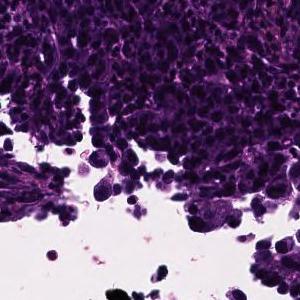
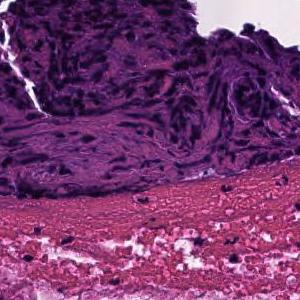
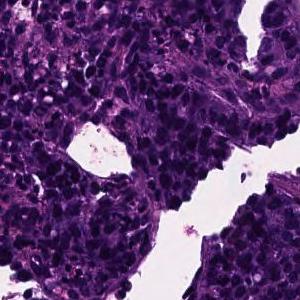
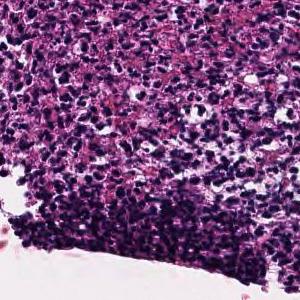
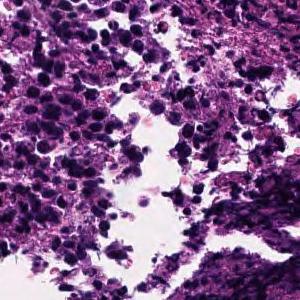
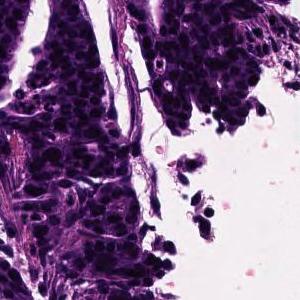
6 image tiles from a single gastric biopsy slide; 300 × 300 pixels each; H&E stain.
Diagnostic report for the slide these tiles come from. Both the report and the diagnosis are for the whole slide: these tiles need not show every feature named, and some of the tissue shown may not be tumor.
In the superficial epithelium, tumor tissue that invades by forming medium-sized to small, irregular ducts is observed. moderately differentiated tubular adenocarcinoma.
